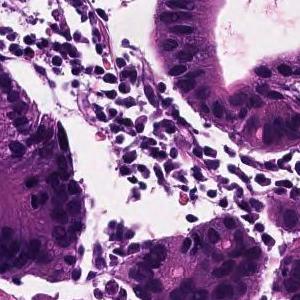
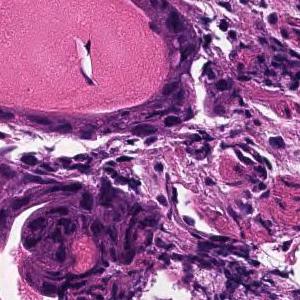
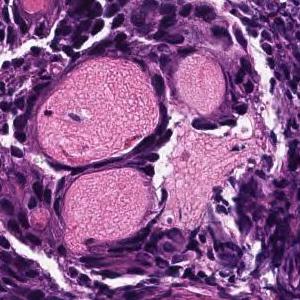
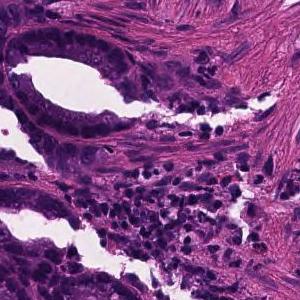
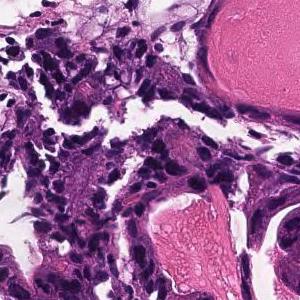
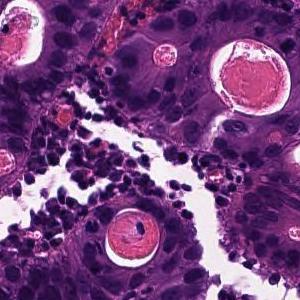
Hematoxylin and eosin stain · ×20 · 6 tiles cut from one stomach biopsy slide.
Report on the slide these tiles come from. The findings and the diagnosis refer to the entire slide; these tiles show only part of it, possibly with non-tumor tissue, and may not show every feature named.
From the superficial epithelium to the muscularis mucosae, tumor tissue infiltrating by forming medium-sized irregular gland ducts is observed. Large tumor cells exhibit large nucleus and hyperchromatism. Well differentiated tubular adenocarcinoma
